4 tiles from the same stomach biopsy slide, each 300 × 300 pixels, 20× magnification, hematoxylin and eosin stain.
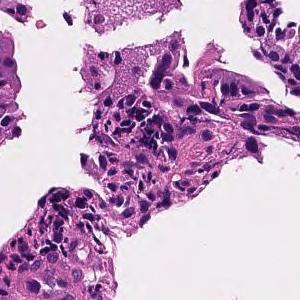
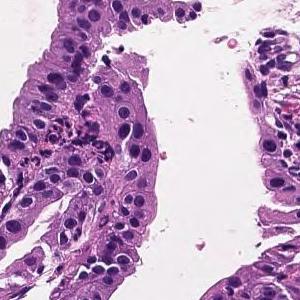
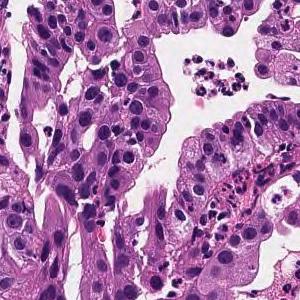
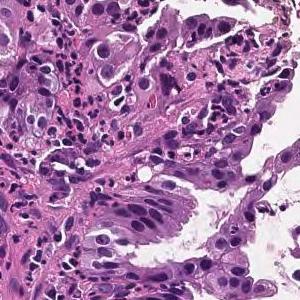
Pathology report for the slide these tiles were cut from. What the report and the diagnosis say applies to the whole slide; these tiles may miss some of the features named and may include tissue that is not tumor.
On the superficial epithelium, tumor tissue consisting of large, irregular glandular ducts partially fused and infiltrated is observed. Well to moderately differentiated tubular adenocarcinoma (well differentiated tubular adenocarcinoma, moderately differentiated tubular adenocarcinoma)
Subtype: Well to moderately differentiated tubular adenocarcinoma.
